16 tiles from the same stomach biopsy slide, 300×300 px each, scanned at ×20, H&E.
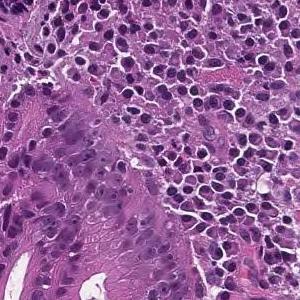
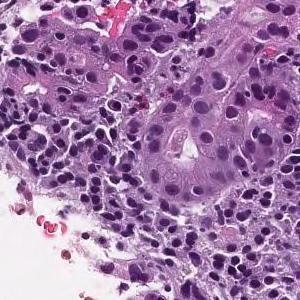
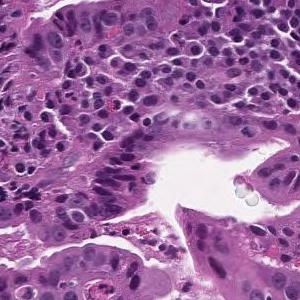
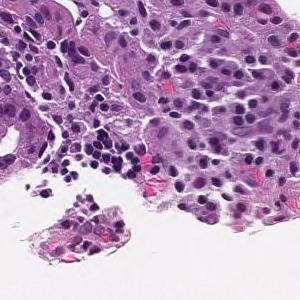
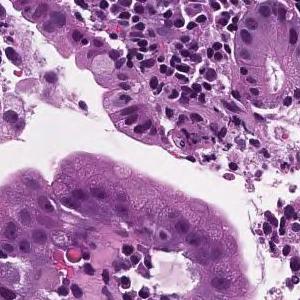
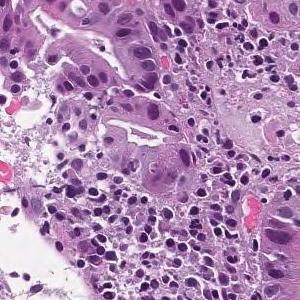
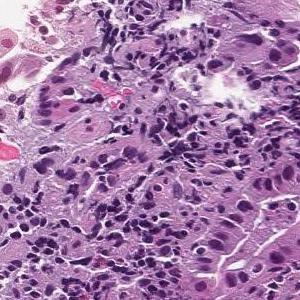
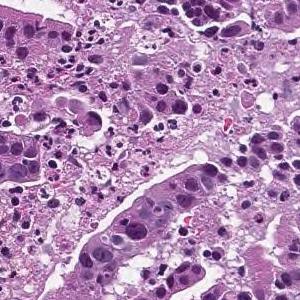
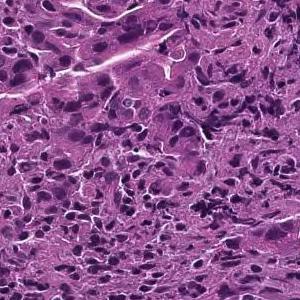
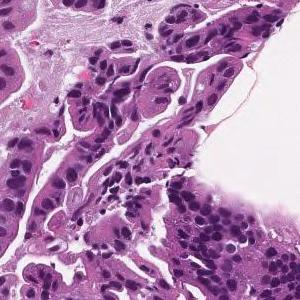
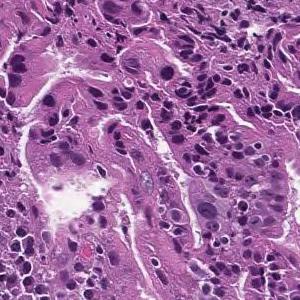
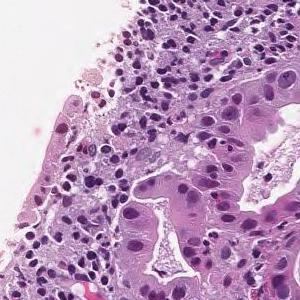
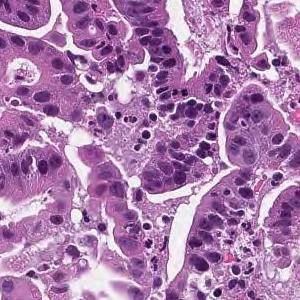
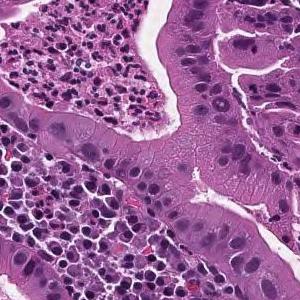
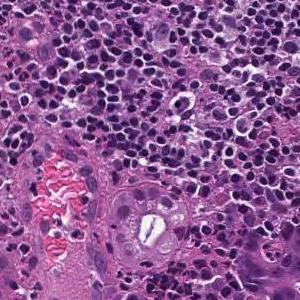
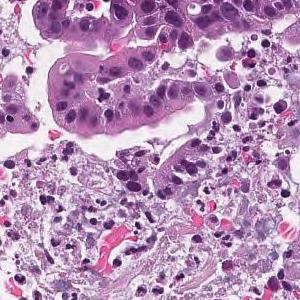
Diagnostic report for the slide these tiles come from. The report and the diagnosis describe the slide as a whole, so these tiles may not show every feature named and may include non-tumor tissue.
From the superficial epithelium to the muscularis mucosae, tumor tissue consisting of medium-sized and irregular glandular ducts infiltrating is observed. Well differentiated tubular adenocarcinoma
